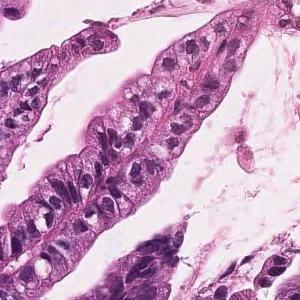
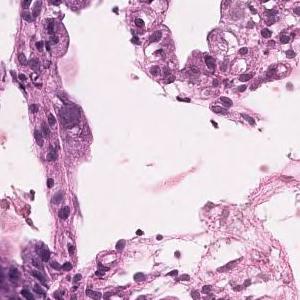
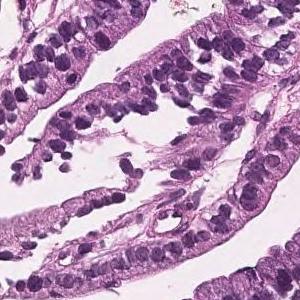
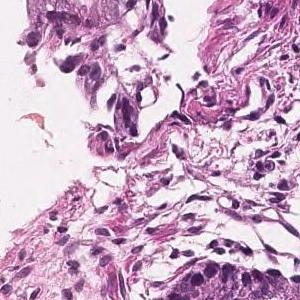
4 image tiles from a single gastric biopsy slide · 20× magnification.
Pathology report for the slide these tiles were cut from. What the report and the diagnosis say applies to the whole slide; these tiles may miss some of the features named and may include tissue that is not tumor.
Tumor cells are large, highly columnar, large club-shaped nuclei, and are associated with chromatin aggregation. Papillary adenocarcinoma.
